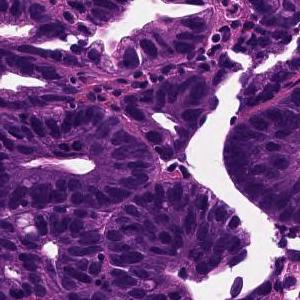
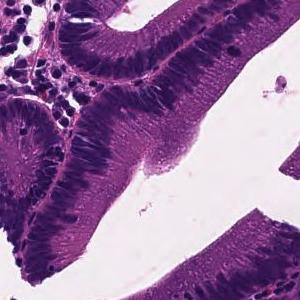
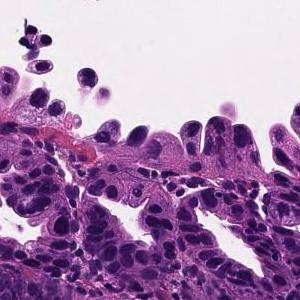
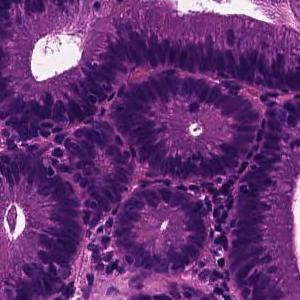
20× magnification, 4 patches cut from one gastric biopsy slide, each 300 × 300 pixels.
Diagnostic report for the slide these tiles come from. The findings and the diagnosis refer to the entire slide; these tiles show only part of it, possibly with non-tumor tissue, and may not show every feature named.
Tumor tissue in which medium to small irregular ducts infiltrate and proliferate in the submucosa can be seen in the epithelium. Well differentiated tubular adenocarcinoma
